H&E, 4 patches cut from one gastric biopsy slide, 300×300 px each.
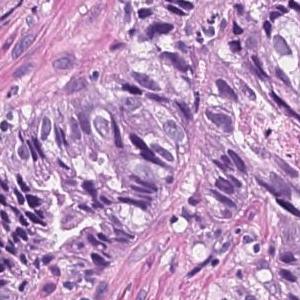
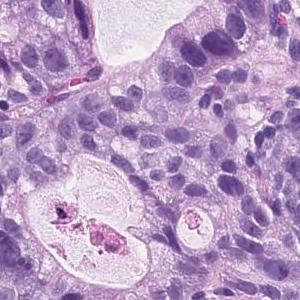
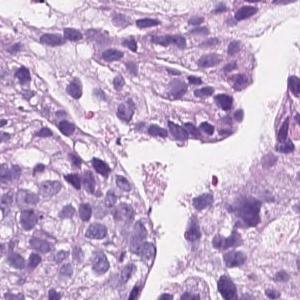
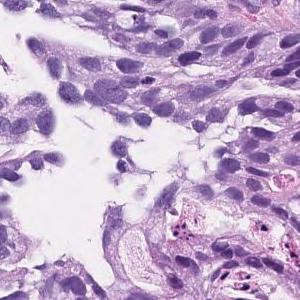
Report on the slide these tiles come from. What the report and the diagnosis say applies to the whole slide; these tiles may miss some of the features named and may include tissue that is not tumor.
On the superficial epithelium, tumor tissue consisting of an image of large, irregular glandular ducts partially fused and infiltrated is observed. Well to moderately differentiated tubular adenocarcinoma
